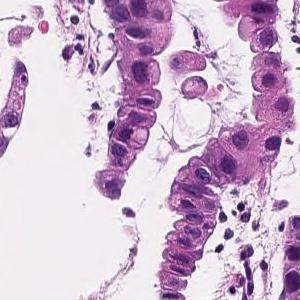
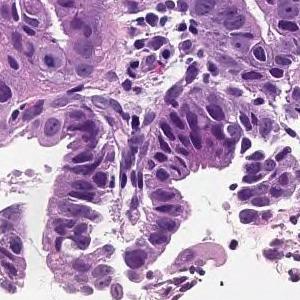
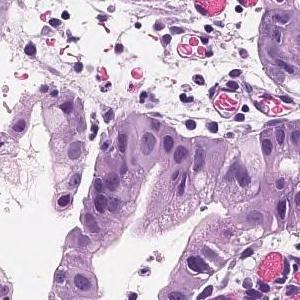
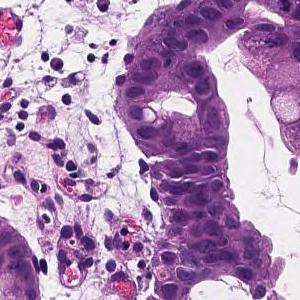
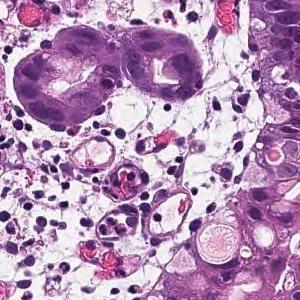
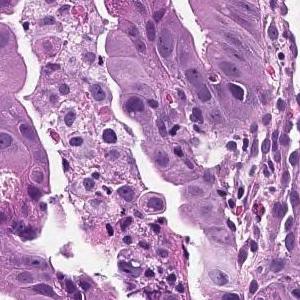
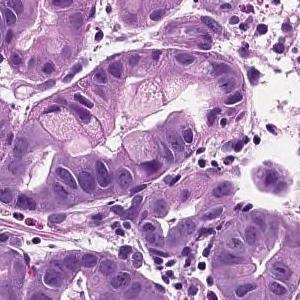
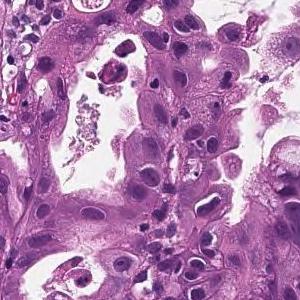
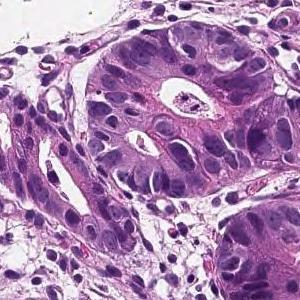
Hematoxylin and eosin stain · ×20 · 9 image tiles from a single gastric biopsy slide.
Pathology report for the slide these tiles were cut from. What the report and the diagnosis say applies to the whole slide; these tiles may miss some of the features named and may include tissue that is not tumor.
On the superficial epithelium, tumor tissue that infiltrates by forming medium-sized papillary or small irregular ducts is observed. Papillary adenocarcinoma
